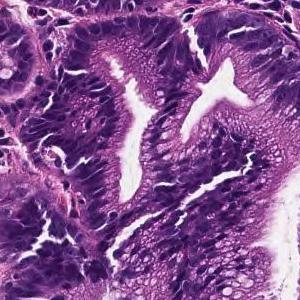
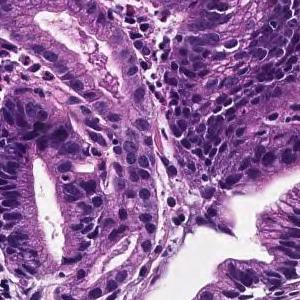
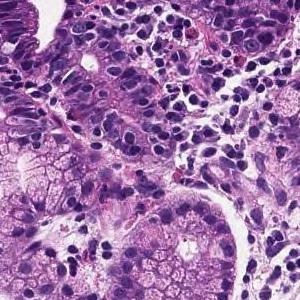
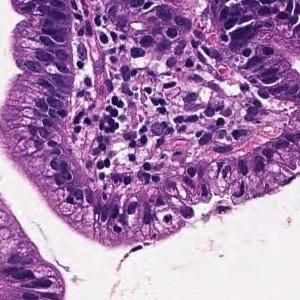
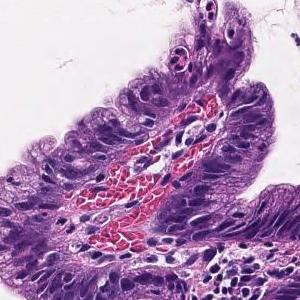
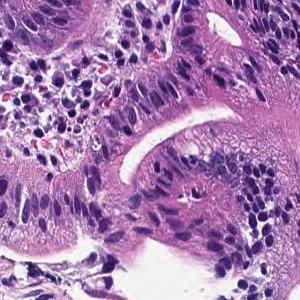
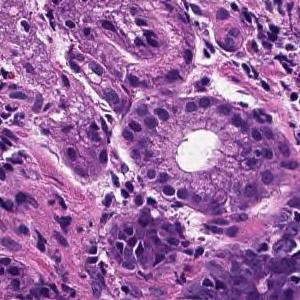
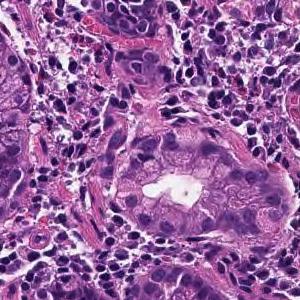
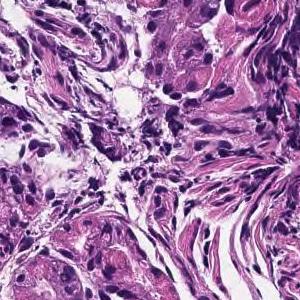
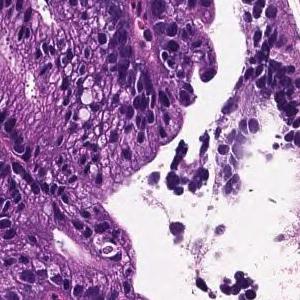
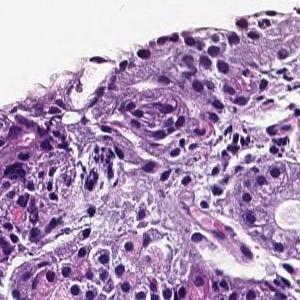
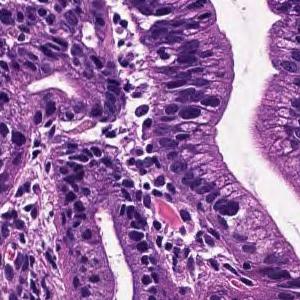
12 tiles cut from one stomach biopsy slide; H&E stain.
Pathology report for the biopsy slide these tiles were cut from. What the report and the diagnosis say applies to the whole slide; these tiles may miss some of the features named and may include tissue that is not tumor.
From the superficial epithelium to the muscularis mucosae, tumor tissue consisting of medium-sized and irregular glandular ducts infiltrating is observed. Well differentiated tubular adenocarcinoma
